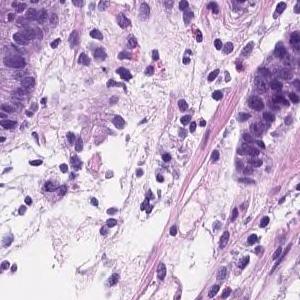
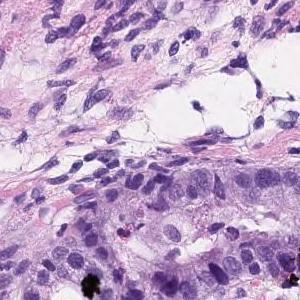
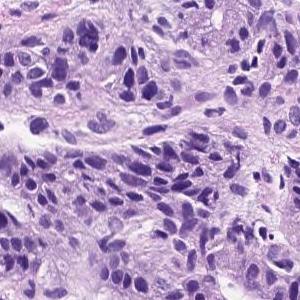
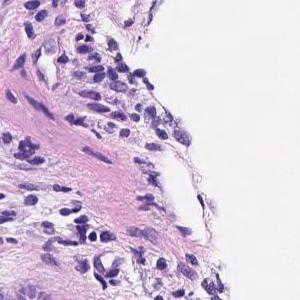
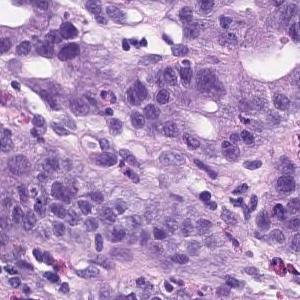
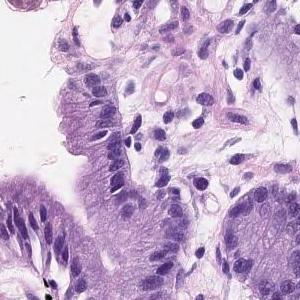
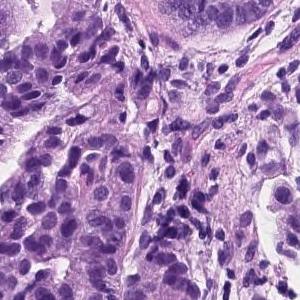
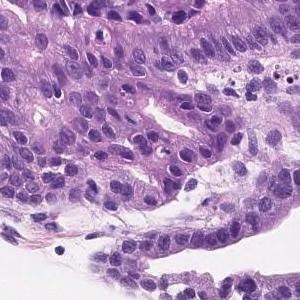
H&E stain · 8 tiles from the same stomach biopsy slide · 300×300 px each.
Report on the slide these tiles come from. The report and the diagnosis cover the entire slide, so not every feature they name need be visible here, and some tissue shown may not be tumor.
Tumor tissue consisting of medium-sized and irregular ducts is observed infiltrating in the superficial epithelium. Tumor cells are highly columnar, with nuclei aligned basolaterally and polarized. Well differentiated tubular adenocarcinoma.
